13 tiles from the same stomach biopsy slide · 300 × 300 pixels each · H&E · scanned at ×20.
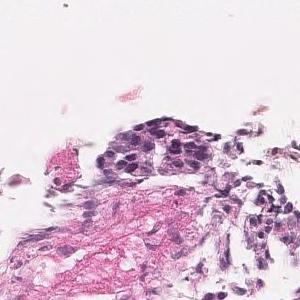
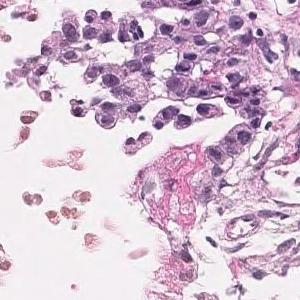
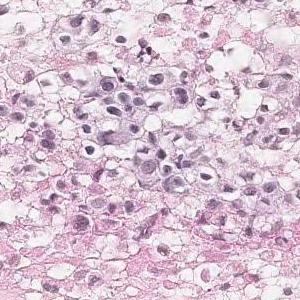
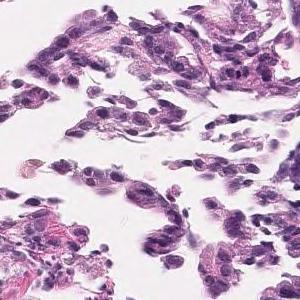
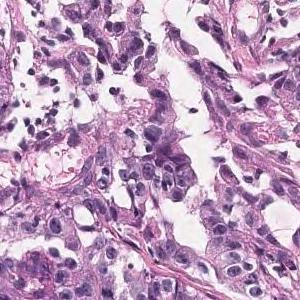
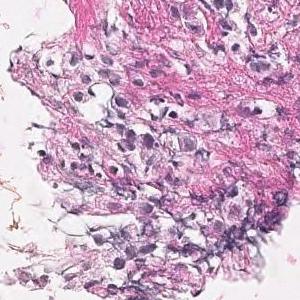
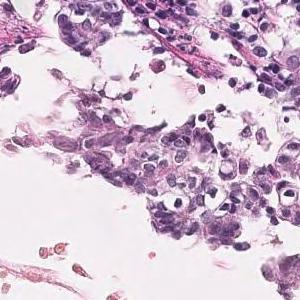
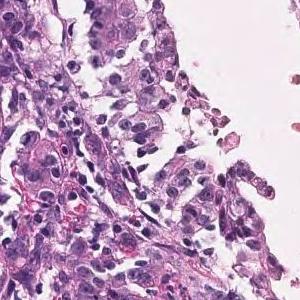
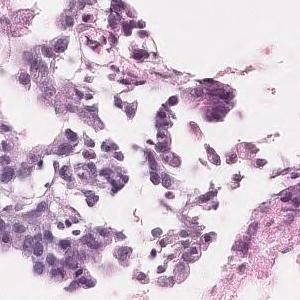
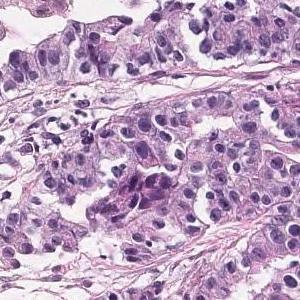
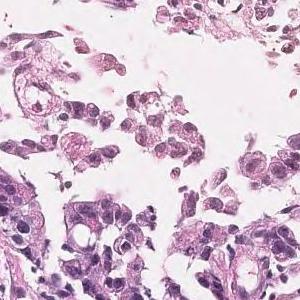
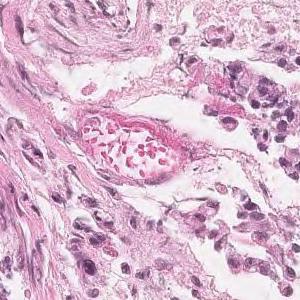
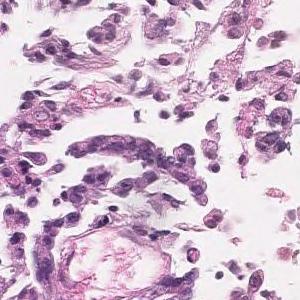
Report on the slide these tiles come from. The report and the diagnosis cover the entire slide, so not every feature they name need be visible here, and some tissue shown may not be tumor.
In the superficial epithelium, tumor tissue that invades by forming medium-sized to small, irregular ducts is observed. moderately differentiated tubular adenocarcinoma.
